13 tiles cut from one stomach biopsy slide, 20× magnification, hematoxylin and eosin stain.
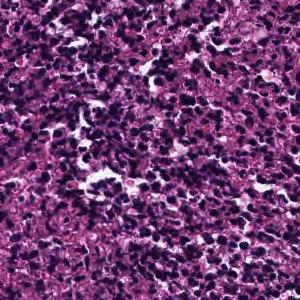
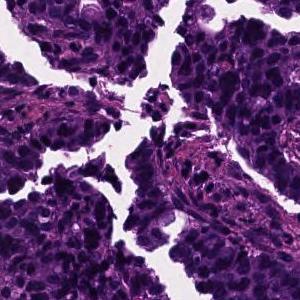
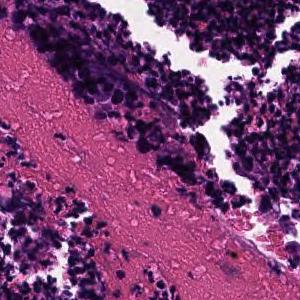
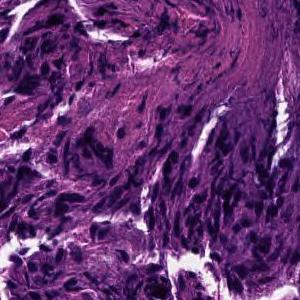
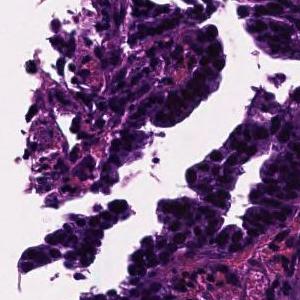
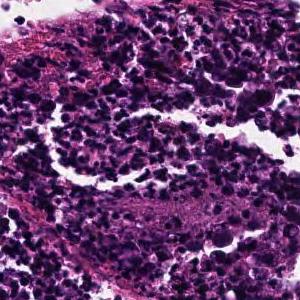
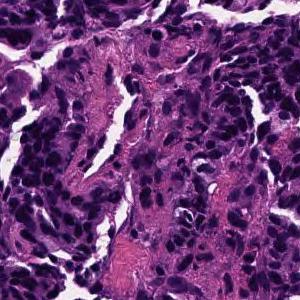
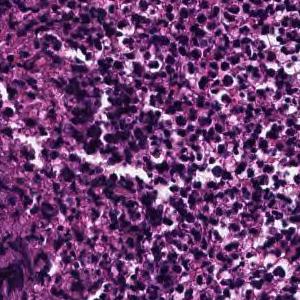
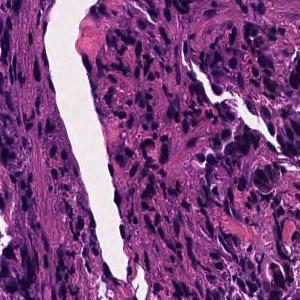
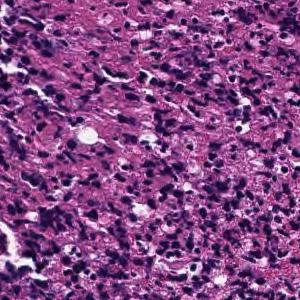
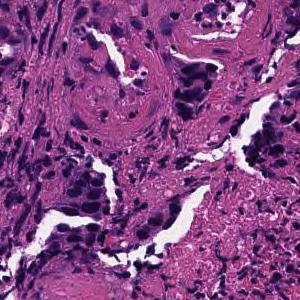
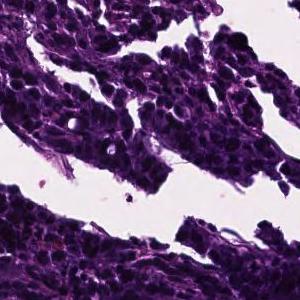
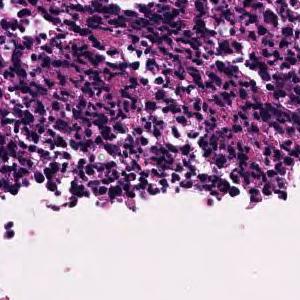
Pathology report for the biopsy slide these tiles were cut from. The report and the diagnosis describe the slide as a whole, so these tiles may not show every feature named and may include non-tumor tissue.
In the superficial epithelium, tumor tissue that invades by forming medium-sized to small, irregular ducts is observed. moderately differentiated tubular adenocarcinoma.
